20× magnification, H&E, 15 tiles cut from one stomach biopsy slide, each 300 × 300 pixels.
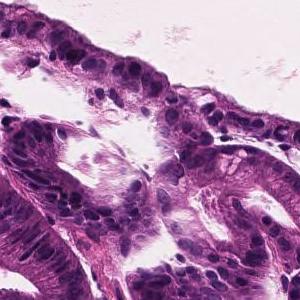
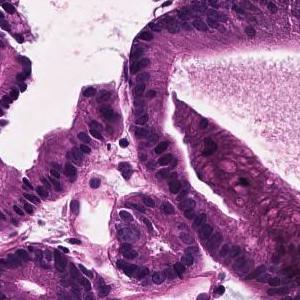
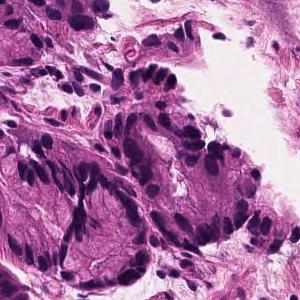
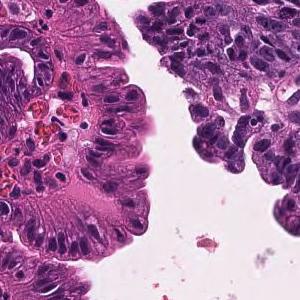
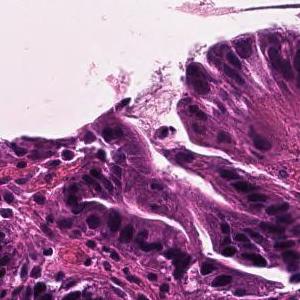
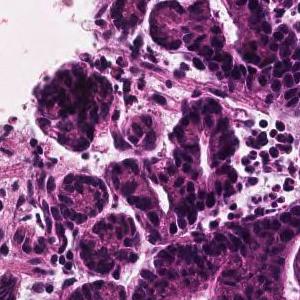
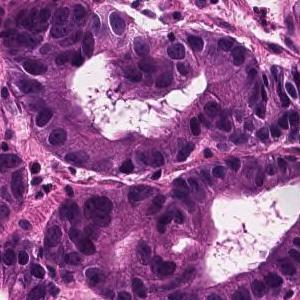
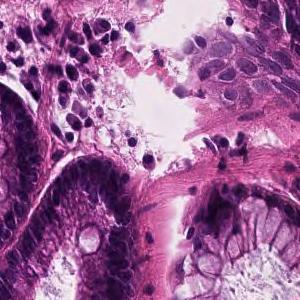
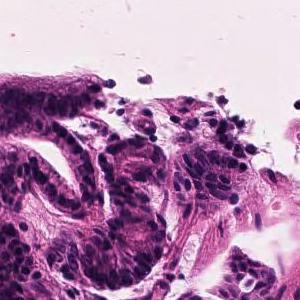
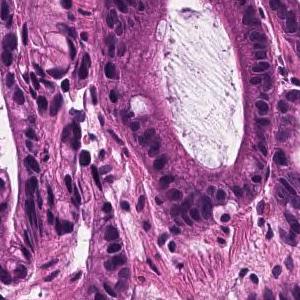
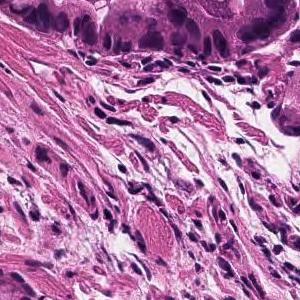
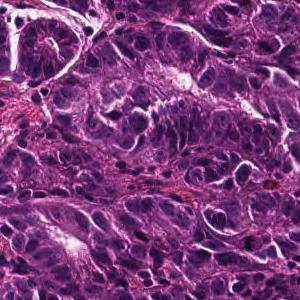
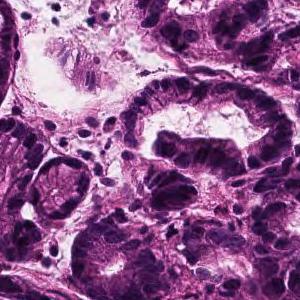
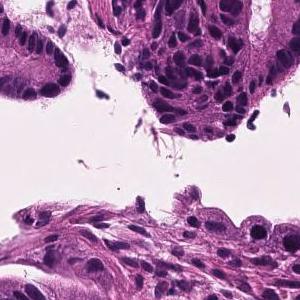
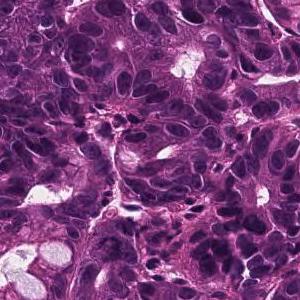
Pathology report for the slide these tiles were cut from. The report and the diagnosis describe the slide as a whole, so these tiles may not show every feature named and may include non-tumor tissue.
In the superficial epithelium, tumor tissue that invades by forming medium-sized to small, irregular ducts is observed. Well differentiated tubular adenocarcinoma.
